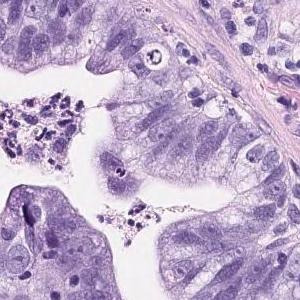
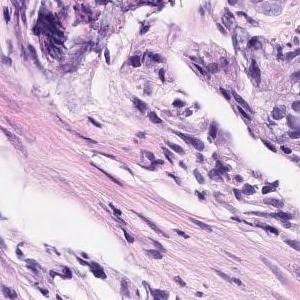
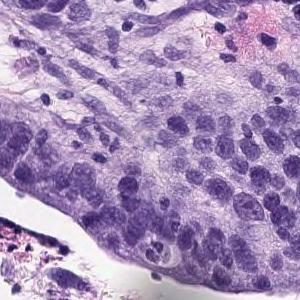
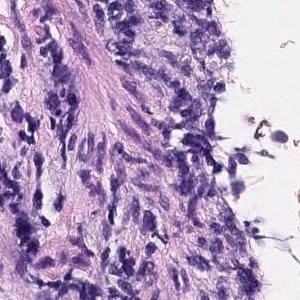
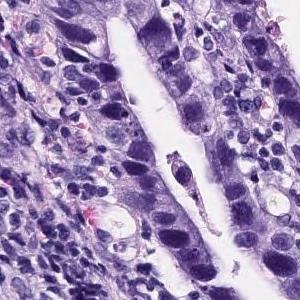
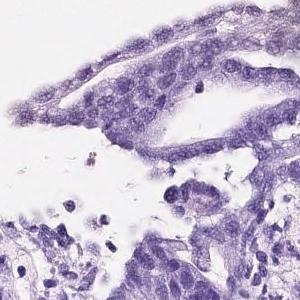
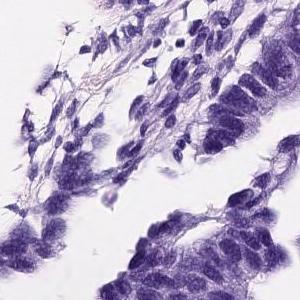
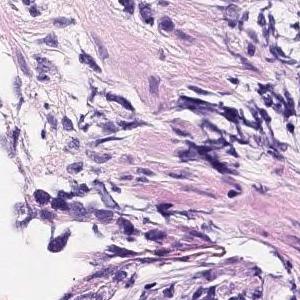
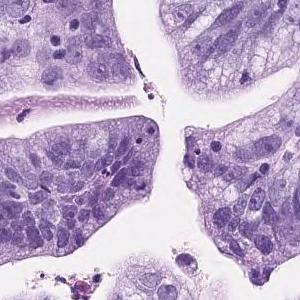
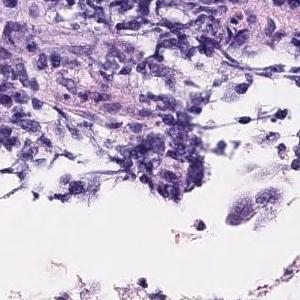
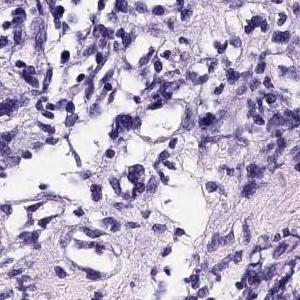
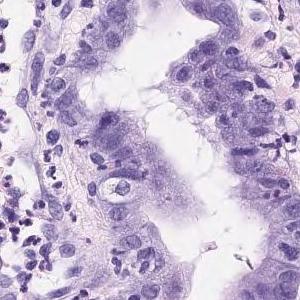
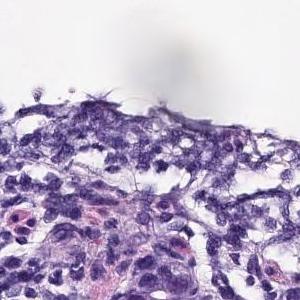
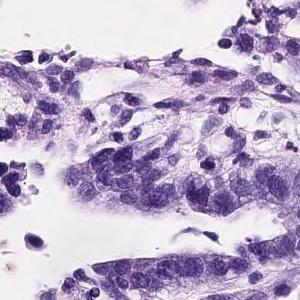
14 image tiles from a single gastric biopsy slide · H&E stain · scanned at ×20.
Pathology report for the biopsy slide these tiles were cut from. Both the report and the diagnosis are for the whole slide: these tiles need not show every feature named, and some of the tissue shown may not be tumor.
On the superficial epithelium, tumor tissue consisting of medium to small irregular tubules partially fused and proliferated is observed. moderately differentiated tubular adenocarcinoma
